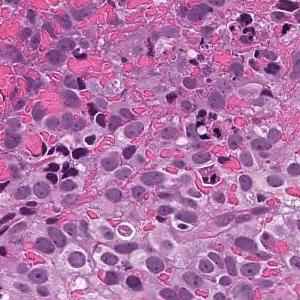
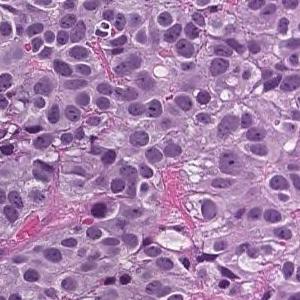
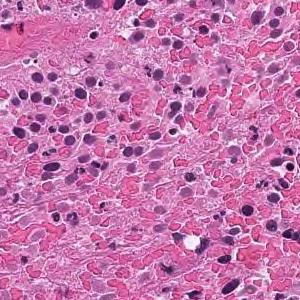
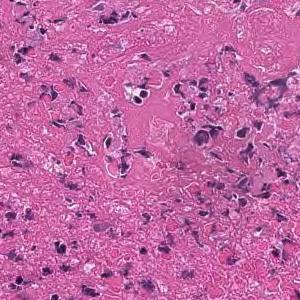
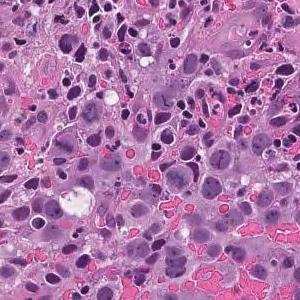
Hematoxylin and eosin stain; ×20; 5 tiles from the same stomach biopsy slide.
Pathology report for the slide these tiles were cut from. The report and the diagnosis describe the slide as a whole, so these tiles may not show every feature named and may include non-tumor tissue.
The superficial epithelium shows a large sheet-like shape, and some tumor tissue infiltrates with small irregular ducts. Poorly differentiated adenocarcinoma, solid-type
Subtype: Poorly differentiated adenocarcinoma, solid type (Japanese Classification of Gastric Carcinoma). The WHO 2019 equivalent is tubular adenocarcinoma, poorly differentiated.
